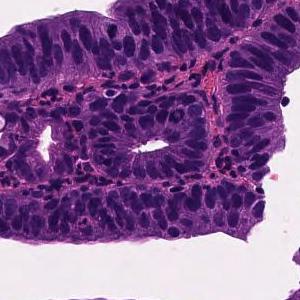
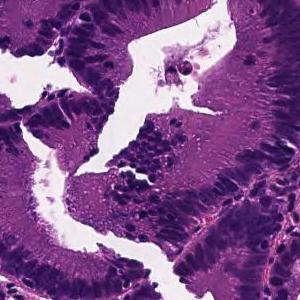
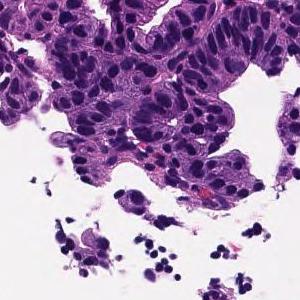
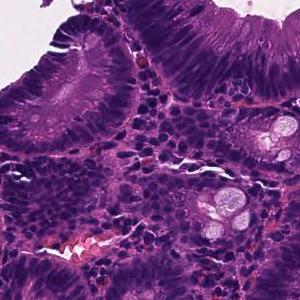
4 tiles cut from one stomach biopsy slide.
Pathology report for the biopsy slide these tiles were cut from. What the report and the diagnosis say applies to the whole slide; these tiles may miss some of the features named and may include tissue that is not tumor.
Tumor tissue in which medium to small irregular ducts infiltrate and proliferate in the submucosa can be seen in the epithelium. Well differentiated tubular adenocarcinoma
